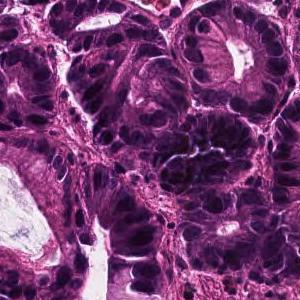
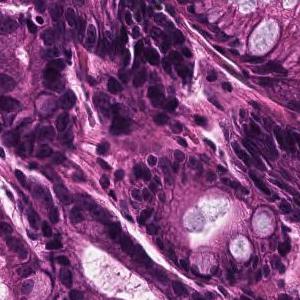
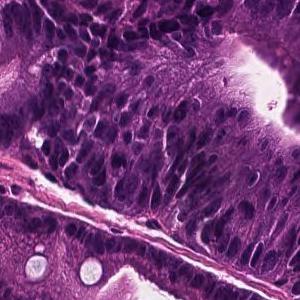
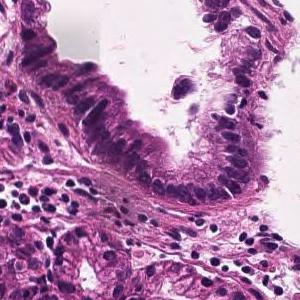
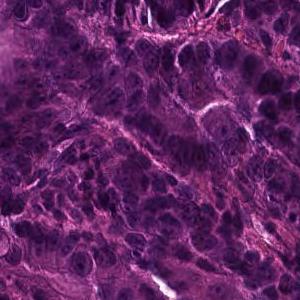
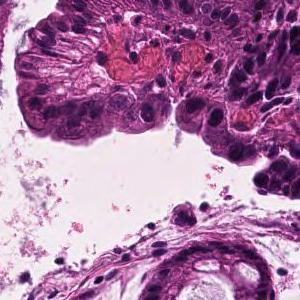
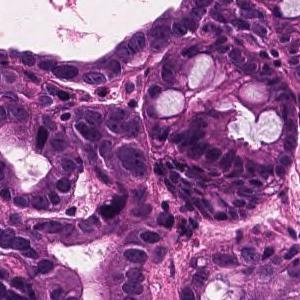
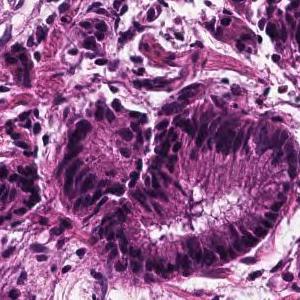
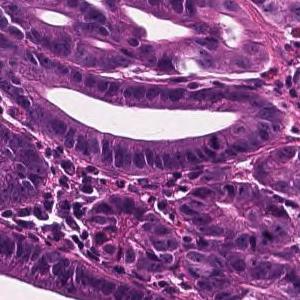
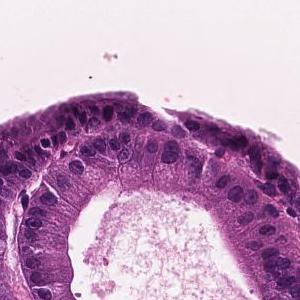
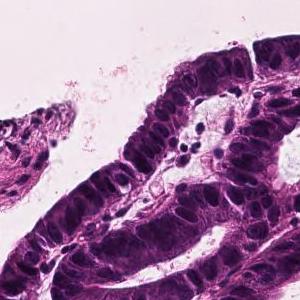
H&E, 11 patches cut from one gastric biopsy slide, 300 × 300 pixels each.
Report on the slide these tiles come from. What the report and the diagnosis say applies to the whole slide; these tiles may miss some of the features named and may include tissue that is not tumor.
In the superficial epithelium, tumor tissue that invades by forming medium-sized to small, irregular ducts is observed. Well differentiated tubular adenocarcinoma.
